×20 · hematoxylin and eosin stain · 12 tiles cut from one stomach biopsy slide · 300×300 px each.
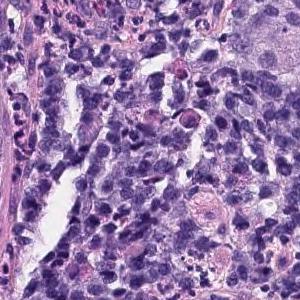
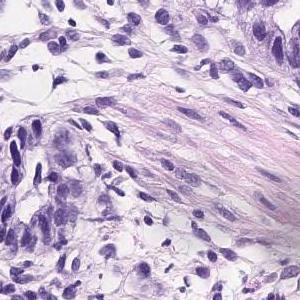
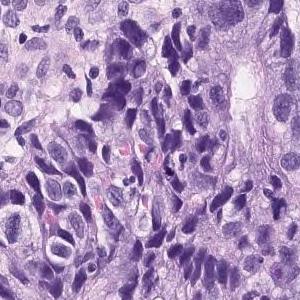
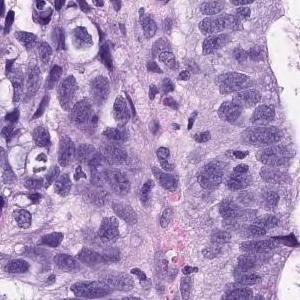
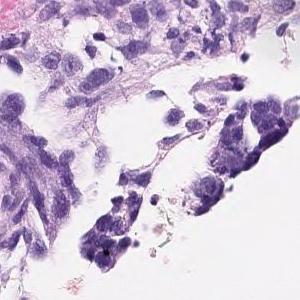
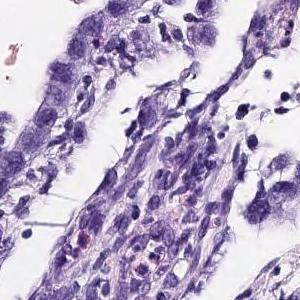
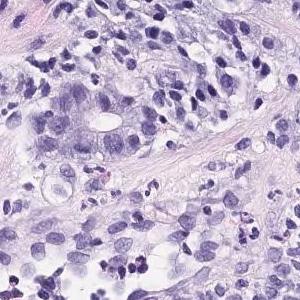
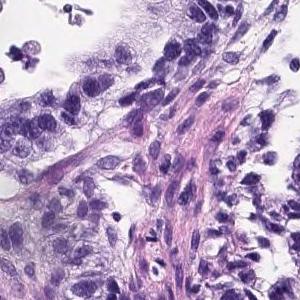
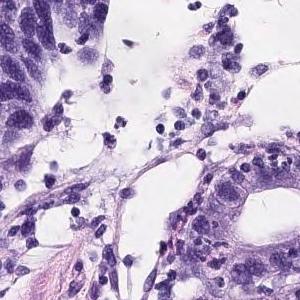
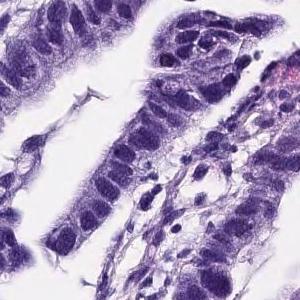
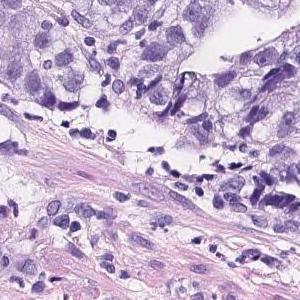
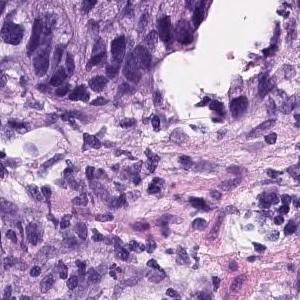
Report on the slide these tiles come from. The report and the diagnosis describe the slide as a whole, so these tiles may not show every feature named and may include non-tumor tissue.
On the superficial epithelium, tumor tissue consisting of medium to small irregular tubules partially fused and proliferated is observed. moderately differentiated tubular adenocarcinoma
